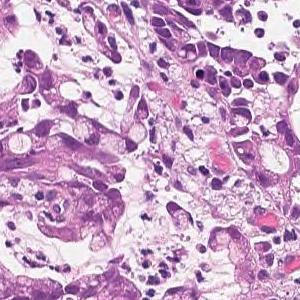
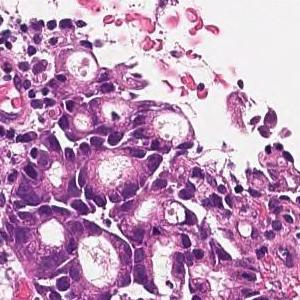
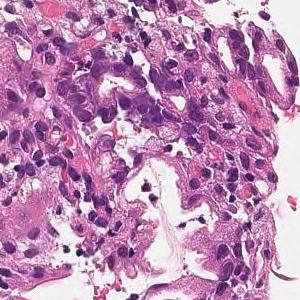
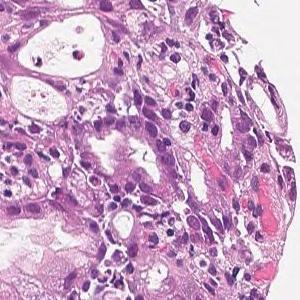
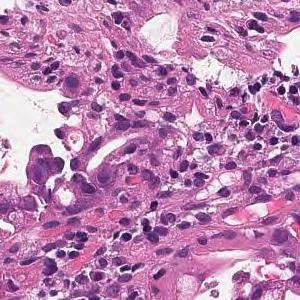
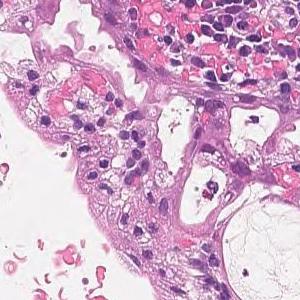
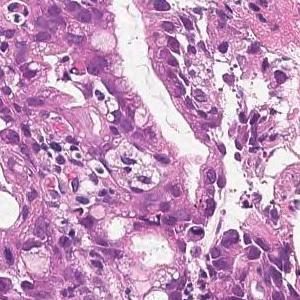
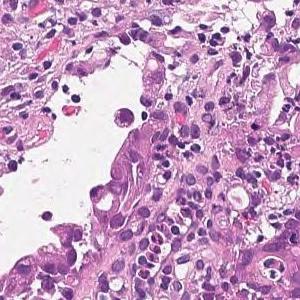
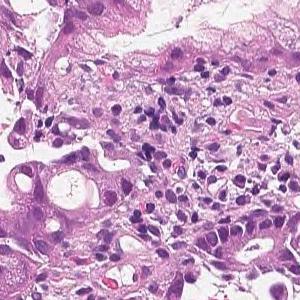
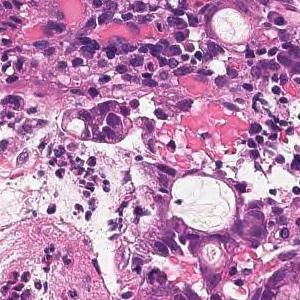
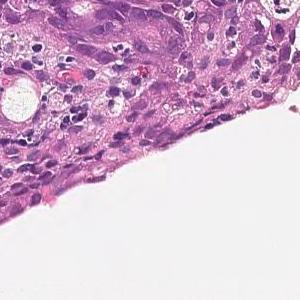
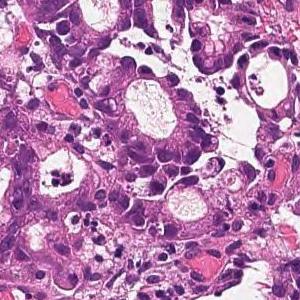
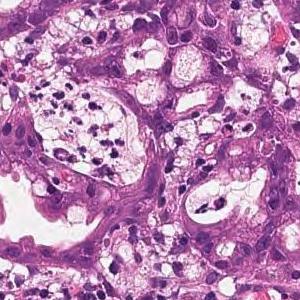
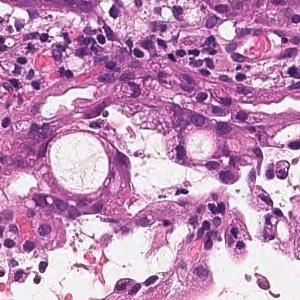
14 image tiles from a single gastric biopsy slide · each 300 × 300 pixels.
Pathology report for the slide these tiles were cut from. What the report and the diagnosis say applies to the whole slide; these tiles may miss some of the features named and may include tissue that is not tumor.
In the superficial epithelium, tumor tissue that invades by forming medium-sized to small, irregular ducts is observed. moderately differentiated tubular adenocarcinoma.
